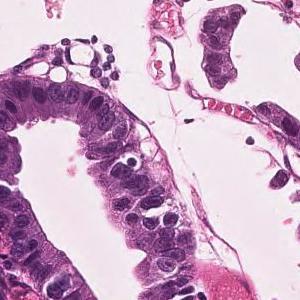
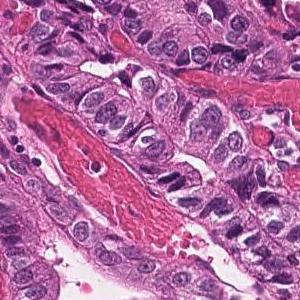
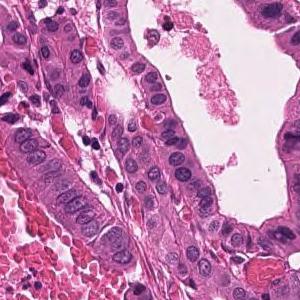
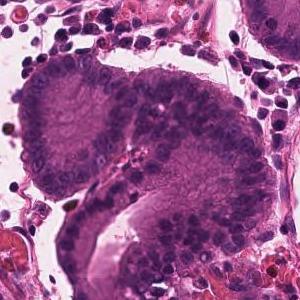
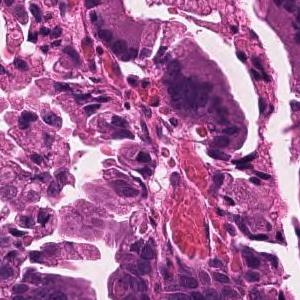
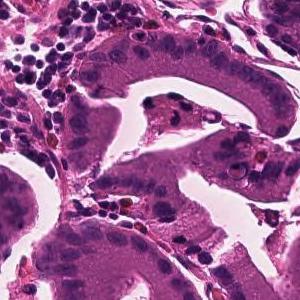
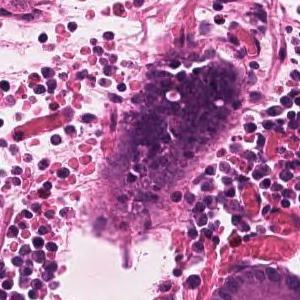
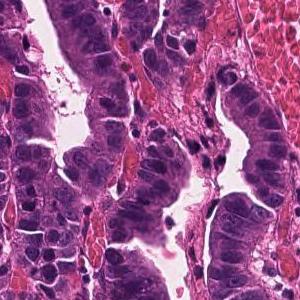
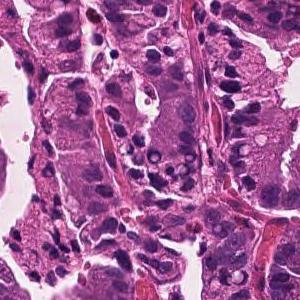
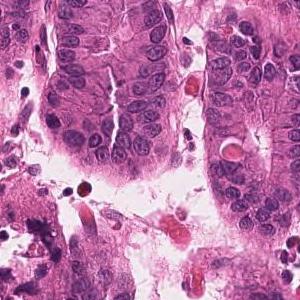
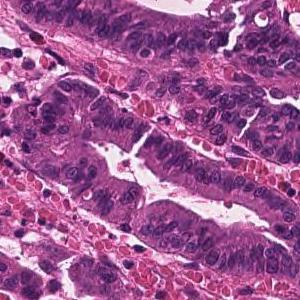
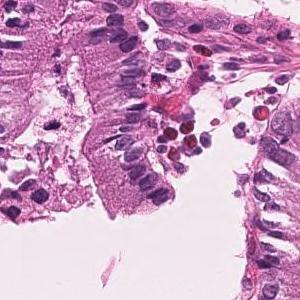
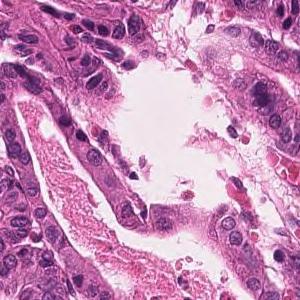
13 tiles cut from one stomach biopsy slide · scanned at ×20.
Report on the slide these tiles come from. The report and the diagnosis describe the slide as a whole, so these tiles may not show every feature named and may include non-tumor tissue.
Infiltrating tumor tissue with medium-sized, irregular ductal structure or large papillary appearance is observed. Well differentiated tubular adenocarcinoma
